Hematoxylin and eosin stain, 11 patches cut from one gastric biopsy slide, 300 × 300 pixels each.
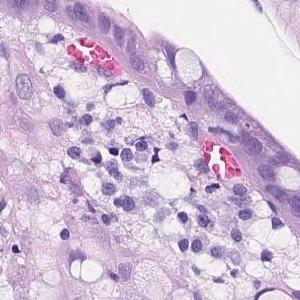
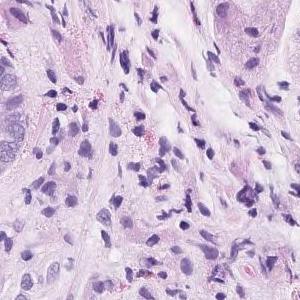
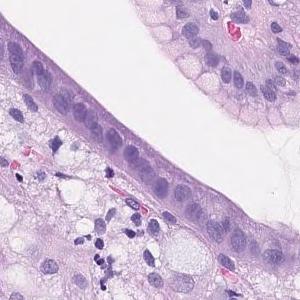
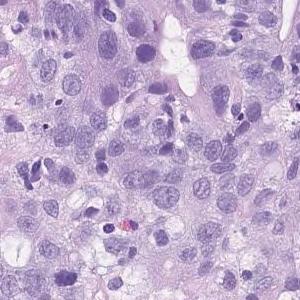
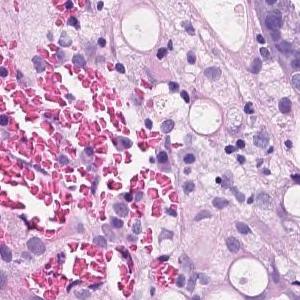
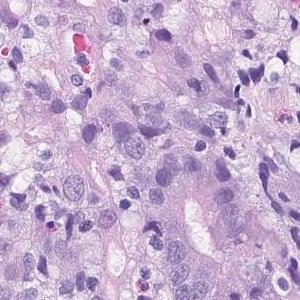
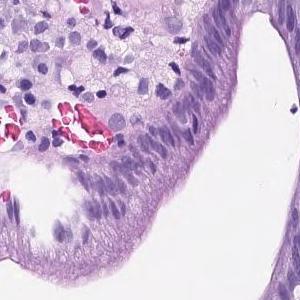
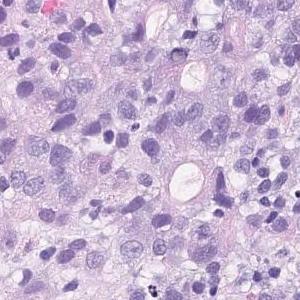
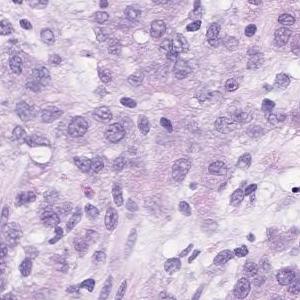
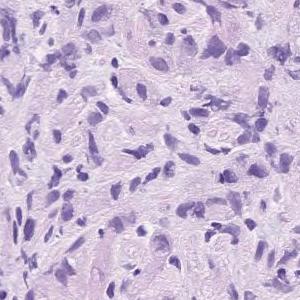
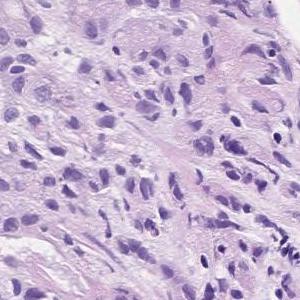
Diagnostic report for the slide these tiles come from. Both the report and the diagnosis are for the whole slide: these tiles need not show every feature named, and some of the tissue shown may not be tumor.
Group 5, Adenocarcinoma. Poorly differentiated adenocarcinoma, non-solid type
"Non-solid type" is a category of the Japanese Classification of Gastric Carcinoma.
